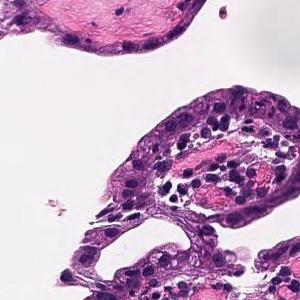
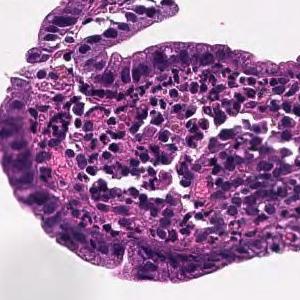
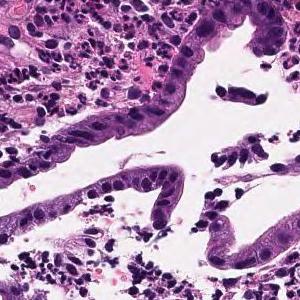
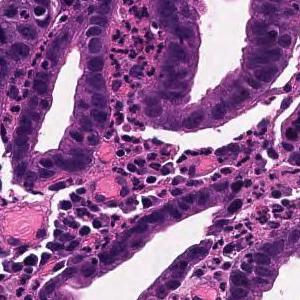
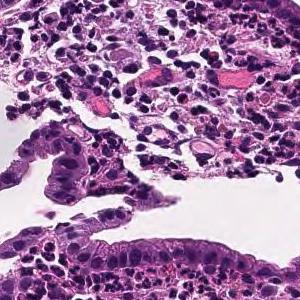
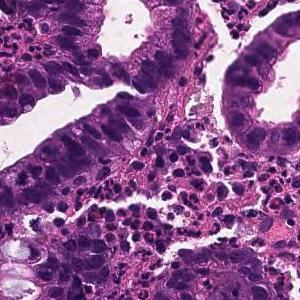
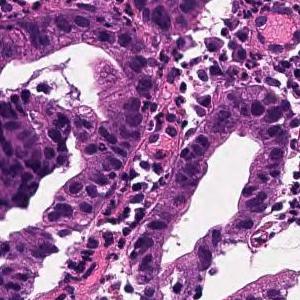
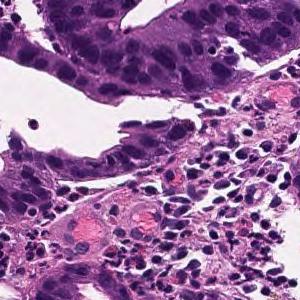
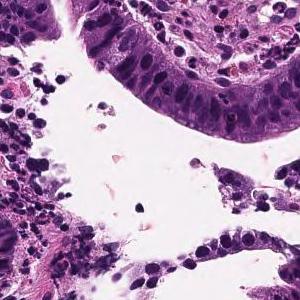
Hematoxylin and eosin stain · 9 image tiles from a single gastric biopsy slide.
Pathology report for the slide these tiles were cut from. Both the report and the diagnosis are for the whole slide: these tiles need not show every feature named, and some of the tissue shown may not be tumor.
From the superficial epithelium to the muscularis mucosae, tumor tissue consisting of medium-sized and irregular glandular ducts infiltrating is observed. Well differentiated tubular adenocarcinoma
